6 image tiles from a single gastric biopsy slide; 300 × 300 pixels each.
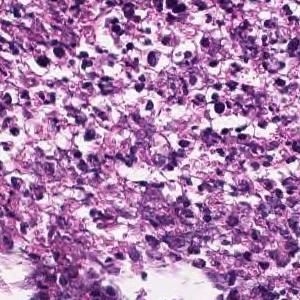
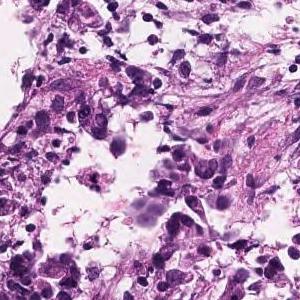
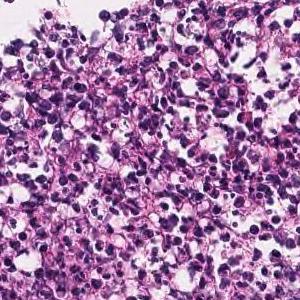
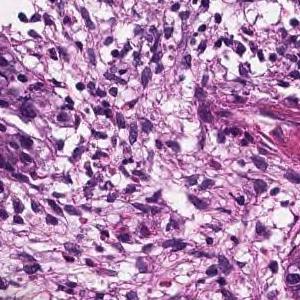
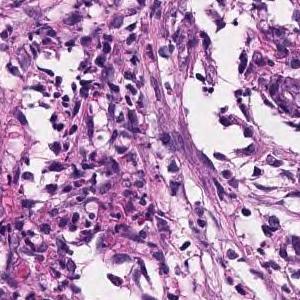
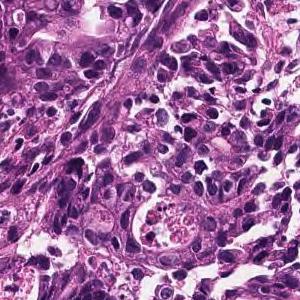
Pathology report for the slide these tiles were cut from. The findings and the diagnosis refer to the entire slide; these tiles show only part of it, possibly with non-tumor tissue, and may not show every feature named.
In the superficial epithelium, medium to small, irregular gland ducts are formed, and in some cases, the gland ducts are fused to show solid alveolar lesions and infiltrating tumor tissue is observed. Moderately to poorly differentiated adenocarcinoma.
